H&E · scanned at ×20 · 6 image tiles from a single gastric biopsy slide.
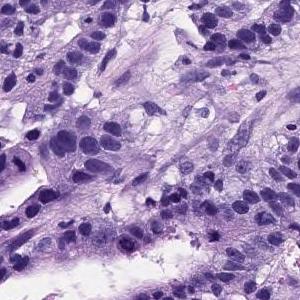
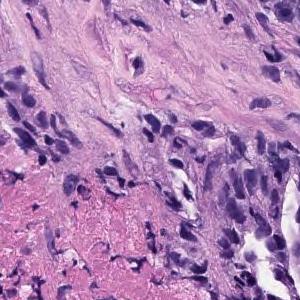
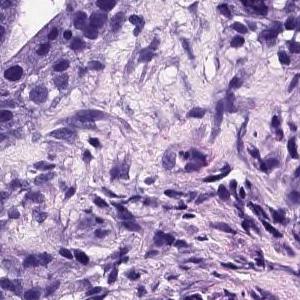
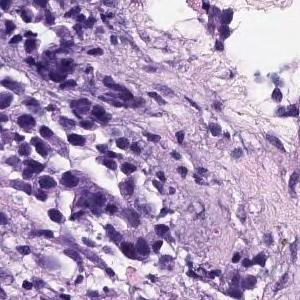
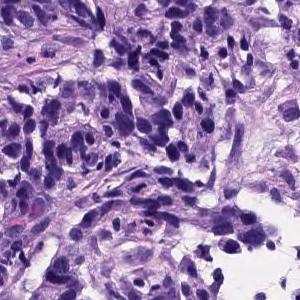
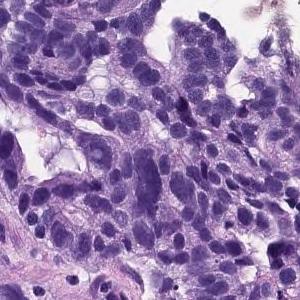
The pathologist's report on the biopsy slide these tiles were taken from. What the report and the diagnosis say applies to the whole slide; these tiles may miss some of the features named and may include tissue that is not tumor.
In the superficial epithelium, tumor tissue that invades by forming medium-sized to small, irregular ducts is observed. Tumor cells are columnar or cuboidal in shape. Moderately differentiated adenocarcinoma.
Histologic type: Moderately differentiated tubular adenocarcinoma.
